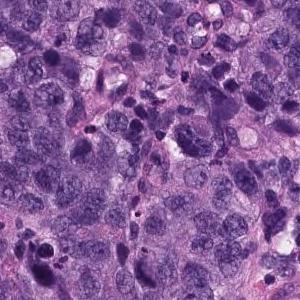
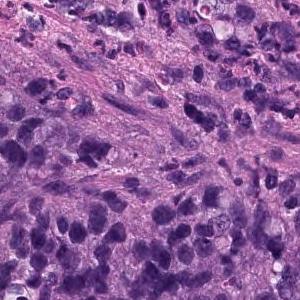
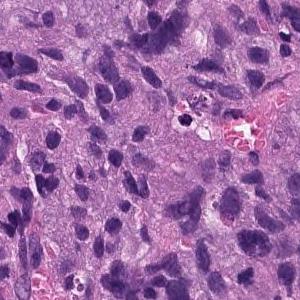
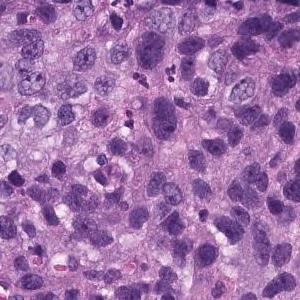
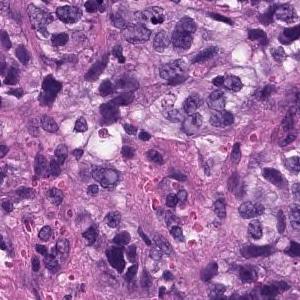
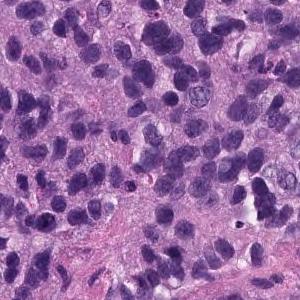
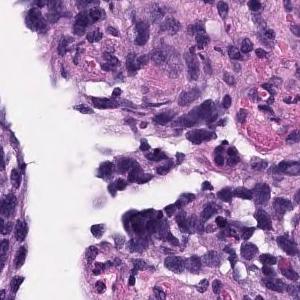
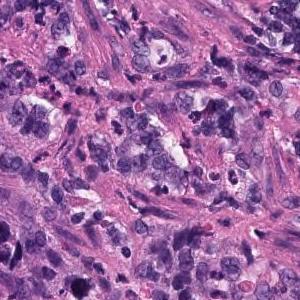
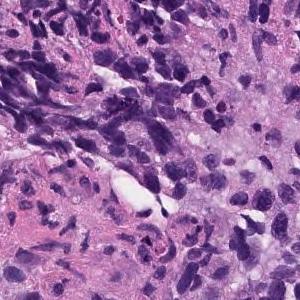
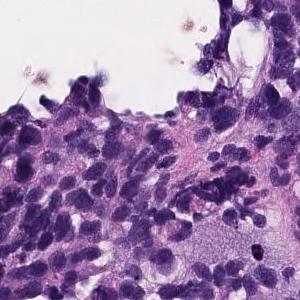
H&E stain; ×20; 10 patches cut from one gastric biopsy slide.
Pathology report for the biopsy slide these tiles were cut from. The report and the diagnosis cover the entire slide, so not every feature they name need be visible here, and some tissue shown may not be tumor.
Atypical l cells with atypical nuclei under the mucosa growing in isolation and scattered. Poorly differentiated adenocarcinoma (poorly differentiated adenocarcinoma, non-solid type)
Classified as poorly differentiated adenocarcinoma, non-solid type.
The term "non-solid type" comes from the Japanese Classification of Gastric Carcinoma.
